15 tiles from the same stomach biopsy slide · H&E stain · 20× magnification.
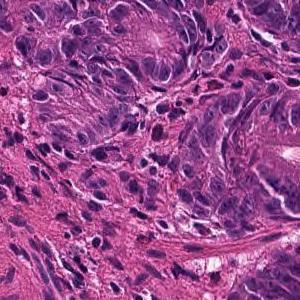
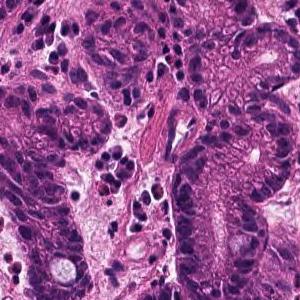
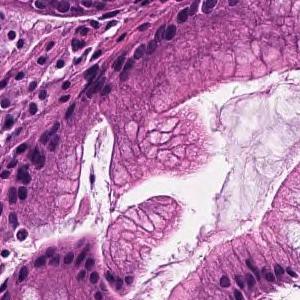
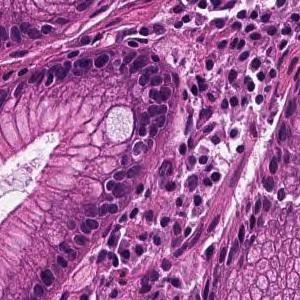
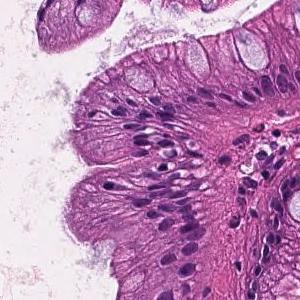
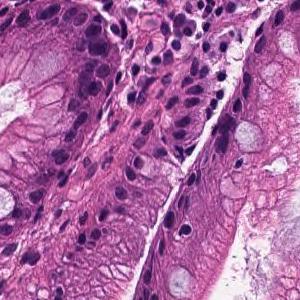
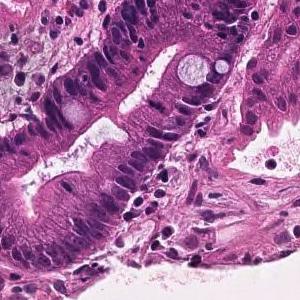
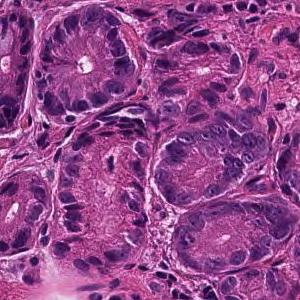
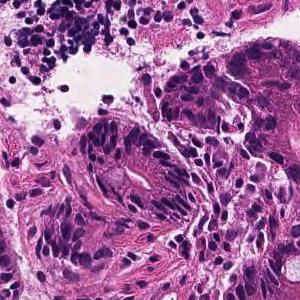
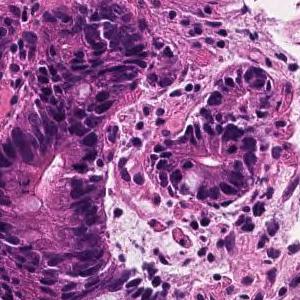
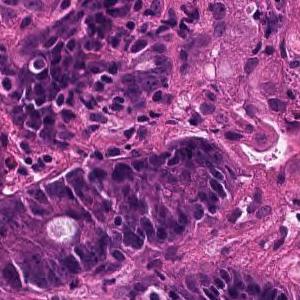
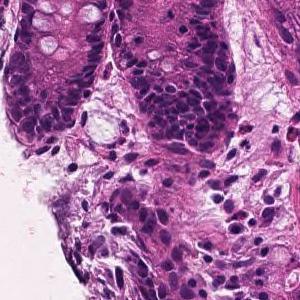
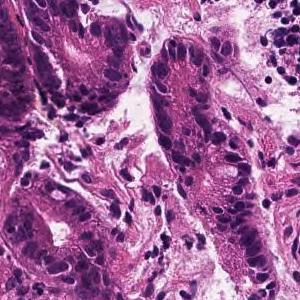
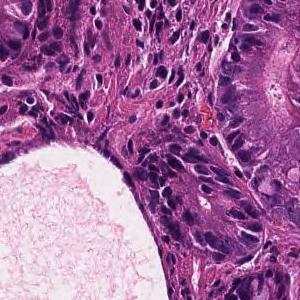
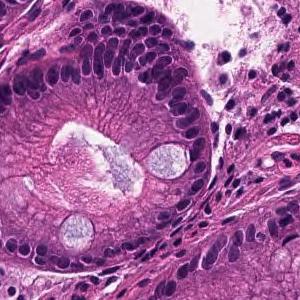
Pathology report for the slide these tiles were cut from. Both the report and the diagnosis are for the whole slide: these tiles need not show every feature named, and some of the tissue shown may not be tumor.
Medium to small, irregular glandular ducts are formed in the superficial epithelium, and in some cases, the glandular ducts are fused to show solid alveolar lesions and infiltrating tumor tissue is observed. Moderately to poorly differentiated adenocarcinoma.
